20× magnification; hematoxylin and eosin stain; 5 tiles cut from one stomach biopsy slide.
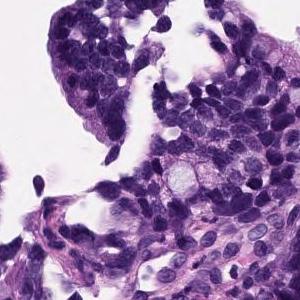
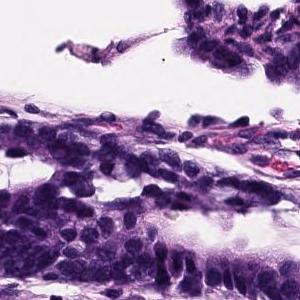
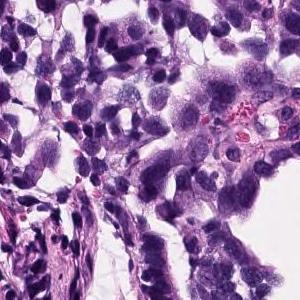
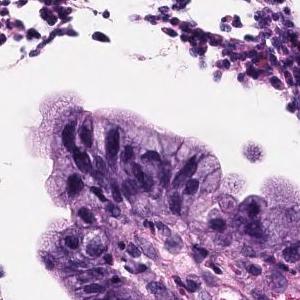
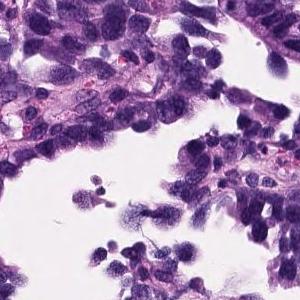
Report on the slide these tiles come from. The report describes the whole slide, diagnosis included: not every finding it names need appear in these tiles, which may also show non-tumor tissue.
Atypical epithelium proliferating showing villus construction and irregular gland duct construction is observed. Moderately differentiated tubular adenocarcinoma.
